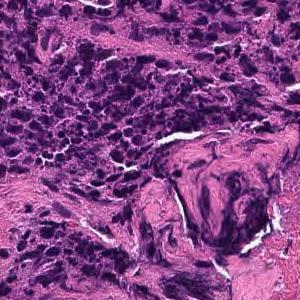
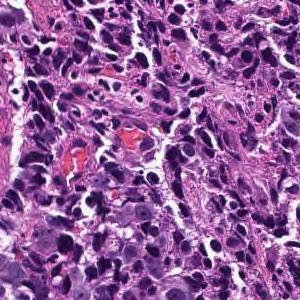
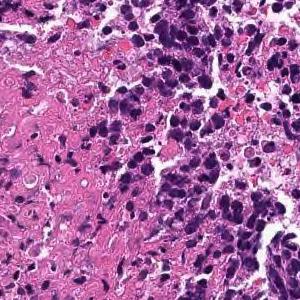
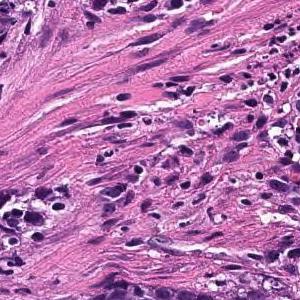
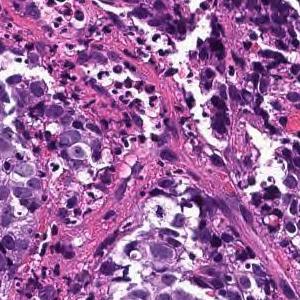
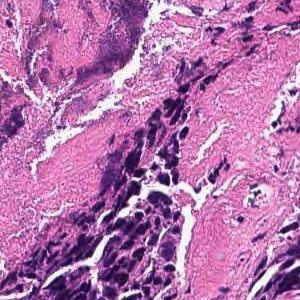
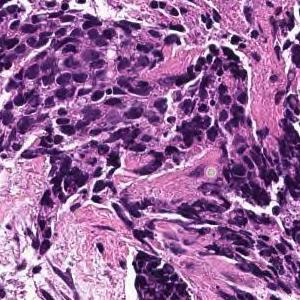
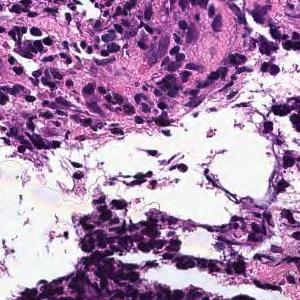
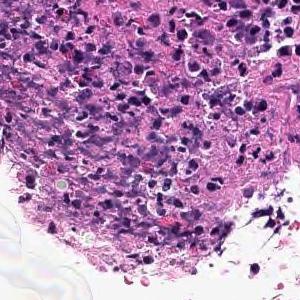
Hematoxylin and eosin stain; 9 image tiles from a single gastric biopsy slide; each 300 × 300 pixels.
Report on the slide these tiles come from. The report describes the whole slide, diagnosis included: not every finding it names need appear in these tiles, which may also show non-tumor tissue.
The superficial epithelium shows a large sheet or alveolar shape, and tumor tissue infiltrating without irregular ducts is observed. Poorly differentiated adenocarcinoma, solid-type
Tumor subtype: poorly differentiated adenocarcinoma, solid type (Japanese Classification of Gastric Carcinoma). The WHO 2019 equivalent is tubular adenocarcinoma, poorly differentiated.
